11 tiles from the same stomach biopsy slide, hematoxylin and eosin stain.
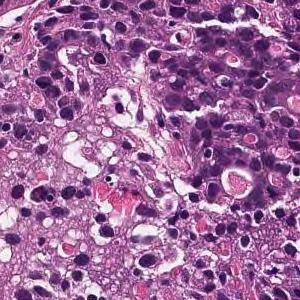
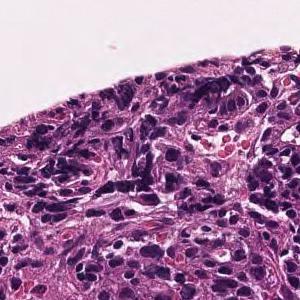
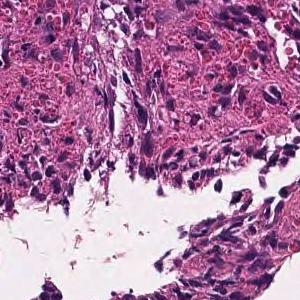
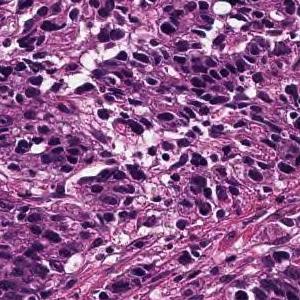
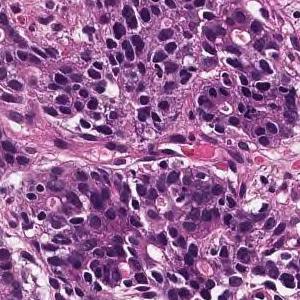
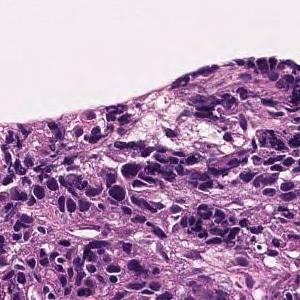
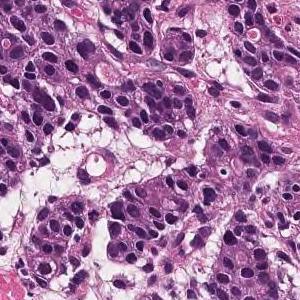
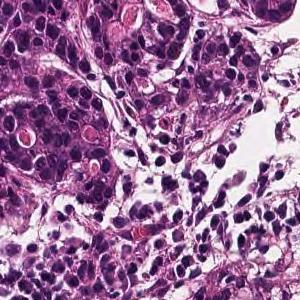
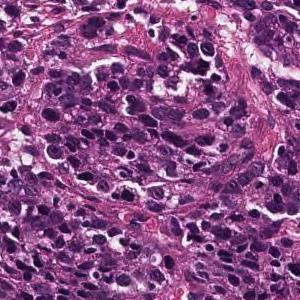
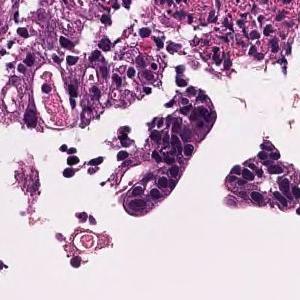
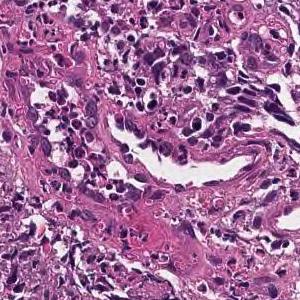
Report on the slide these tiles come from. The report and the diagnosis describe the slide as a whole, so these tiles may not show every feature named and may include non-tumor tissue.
Medium to small, irregular glandular ducts are formed in the superficial epithelium, and in some cases, the glandular ducts are fused to show solid alveolar lesions and infiltrating tumor tissue is observed. Moderately to poorly differentiated adenocarcinoma.
